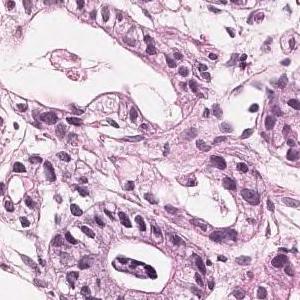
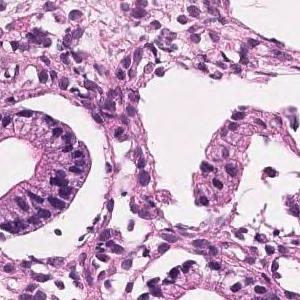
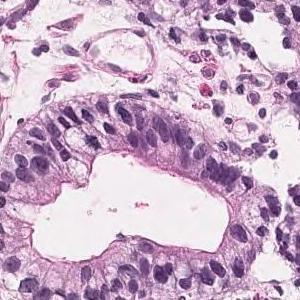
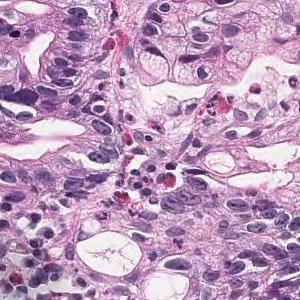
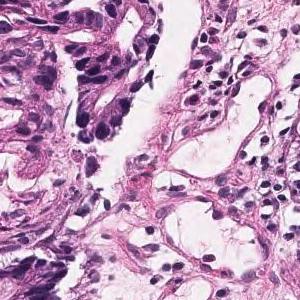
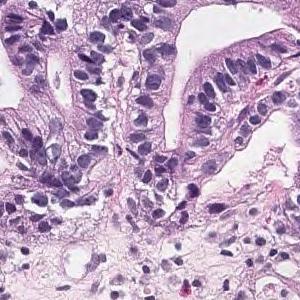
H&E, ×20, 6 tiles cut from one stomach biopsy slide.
The pathologist's report on the biopsy slide these tiles were taken from. Both the report and the diagnosis are for the whole slide: these tiles need not show every feature named, and some of the tissue shown may not be tumor.
Tumor tissue in which medium to small irregular ducts infiltrate and proliferate in the submucosa can be seen in the epithelium. Well differentiated tubular adenocarcinoma
